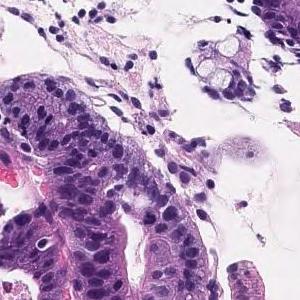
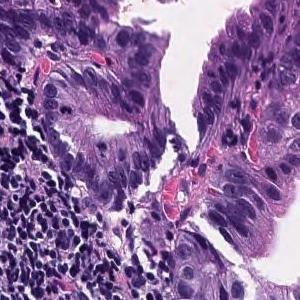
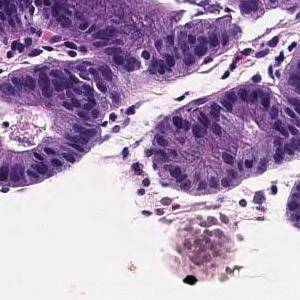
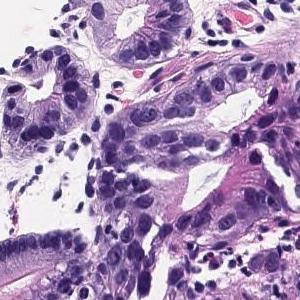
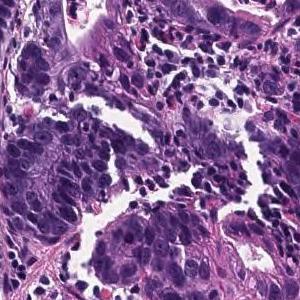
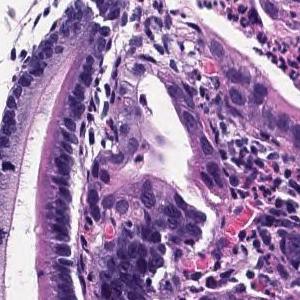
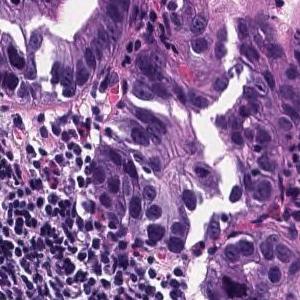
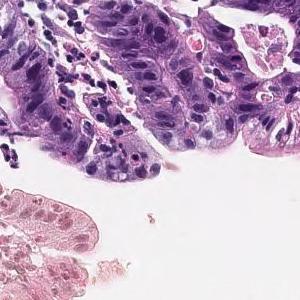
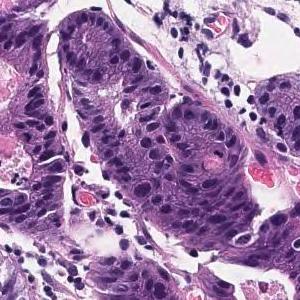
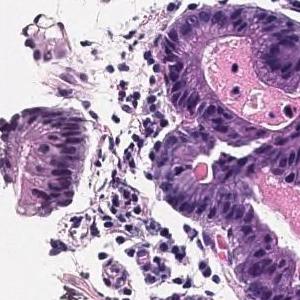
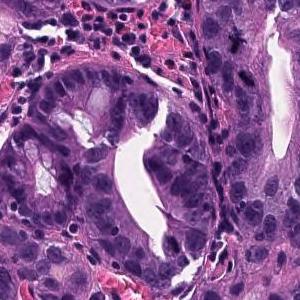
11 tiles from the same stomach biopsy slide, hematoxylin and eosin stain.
Diagnostic report for the slide these tiles come from. Both the report and the diagnosis are for the whole slide: these tiles need not show every feature named, and some of the tissue shown may not be tumor.
Atypical ducts are found against the background of intestinal metaplasia. Moderately differentiated tubular adenocarcinoma, Well differentiated tubular adenocarcinoma.
